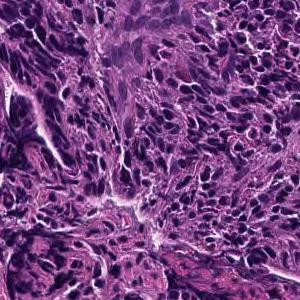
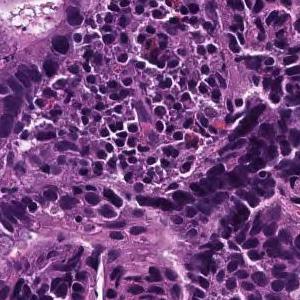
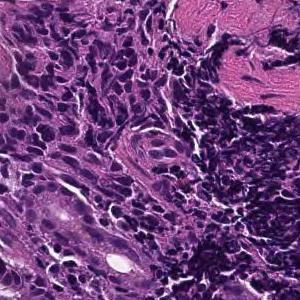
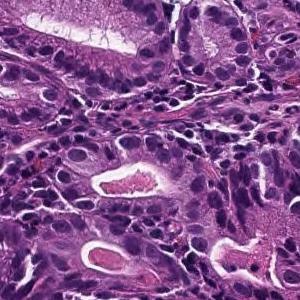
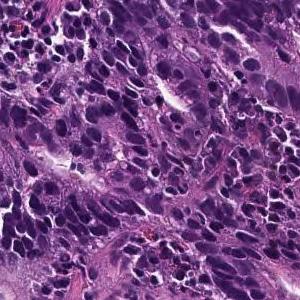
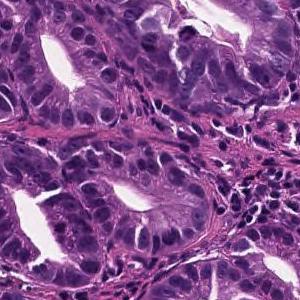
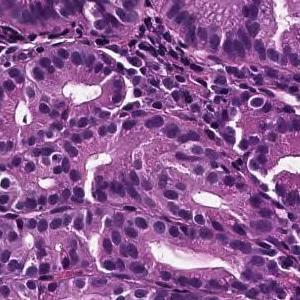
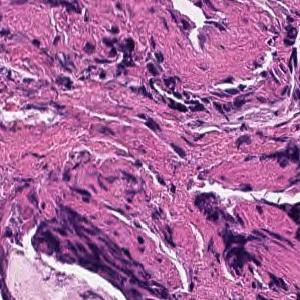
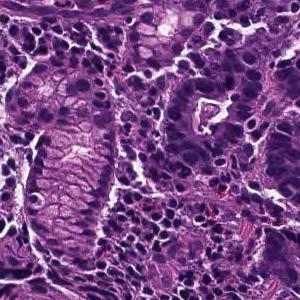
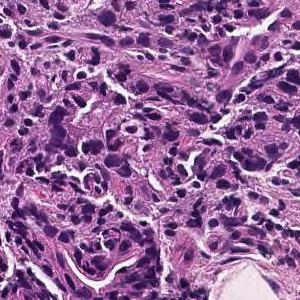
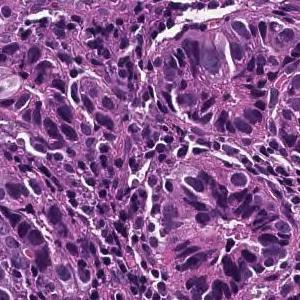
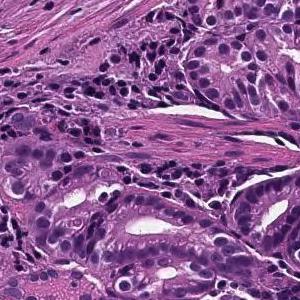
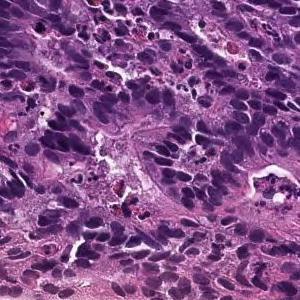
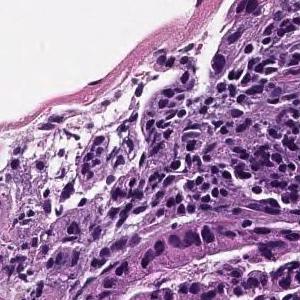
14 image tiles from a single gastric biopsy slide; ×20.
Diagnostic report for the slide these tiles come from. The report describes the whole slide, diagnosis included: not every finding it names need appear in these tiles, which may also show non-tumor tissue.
On the superficial epithelium, tumor tissue consisting of large irregular glandular ducts partially fused and infiltrated is observed. Well to moderately differentiated tubular adenocarcinoma (well differentiated tubular adenocarcinoma, moderately differentiated tubular adenocarcinoma)
Classified as well to moderately differentiated tubular adenocarcinoma.
